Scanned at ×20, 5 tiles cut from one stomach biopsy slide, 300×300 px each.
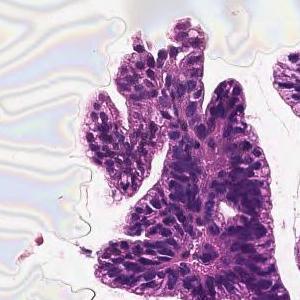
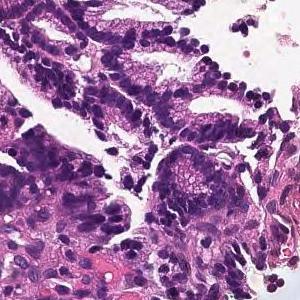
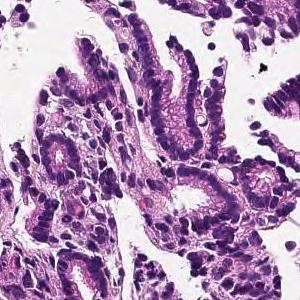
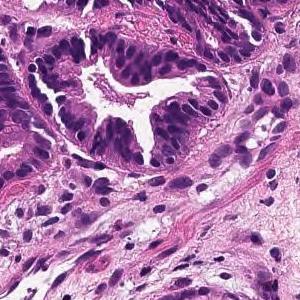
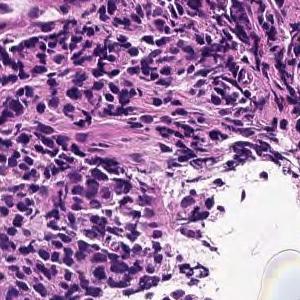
Pathology report for the biopsy slide these tiles were cut from. Both the report and the diagnosis are for the whole slide: these tiles need not show every feature named, and some of the tissue shown may not be tumor.
On the superficial epithelium, tumor tissue consisting of large irregular glandular ducts partially fused and infiltrated is observed. Well to moderately differentiated tubular adenocarcinoma (well differentiated tubular adenocarcinoma, moderately differentiated tubular adenocarcinoma)
Classified as well to moderately differentiated tubular adenocarcinoma.
